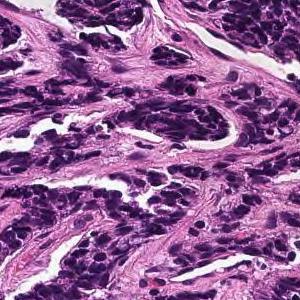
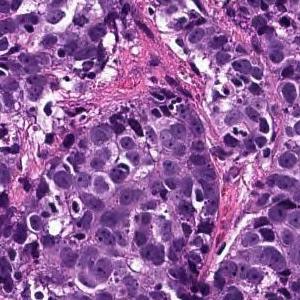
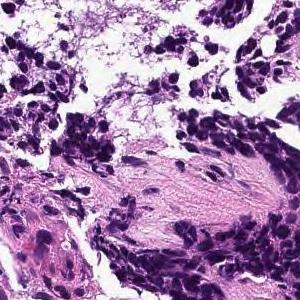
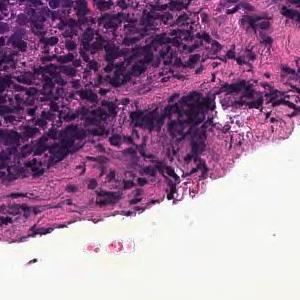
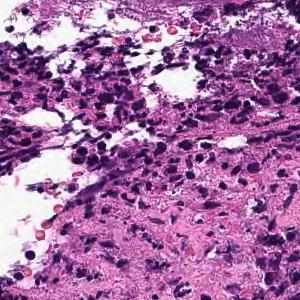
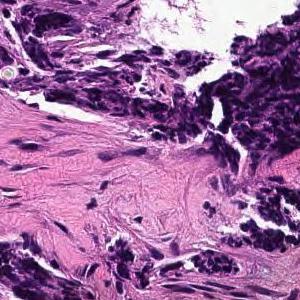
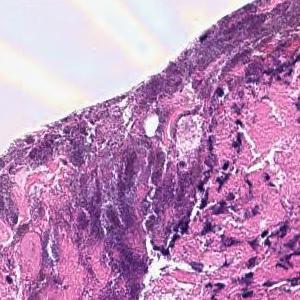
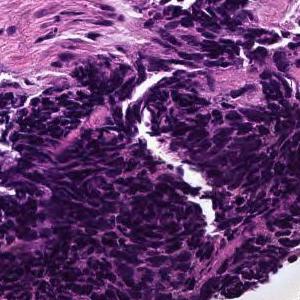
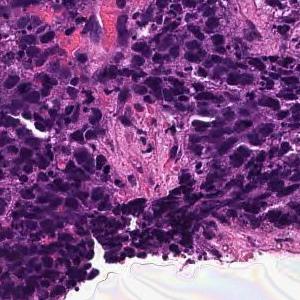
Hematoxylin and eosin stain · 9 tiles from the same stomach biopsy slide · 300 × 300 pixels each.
Pathology report for the biopsy slide these tiles were cut from. The report and the diagnosis cover the entire slide, so not every feature they name need be visible here, and some tissue shown may not be tumor.
The superficial epithelium shows a large sheet or alveolar shape, and tumor tissue infiltrating without irregular ducts is observed. Poorly differentiated adenocarcinoma, solid-type
Histologic type: Poorly differentiated adenocarcinoma, solid type (Japanese Classification of Gastric Carcinoma). The WHO 2019 equivalent is tubular adenocarcinoma, poorly differentiated.
